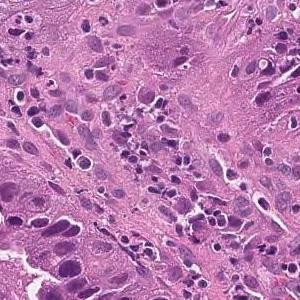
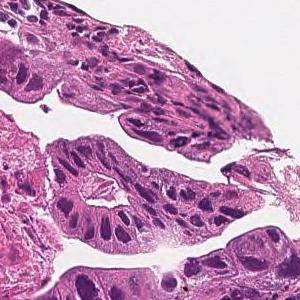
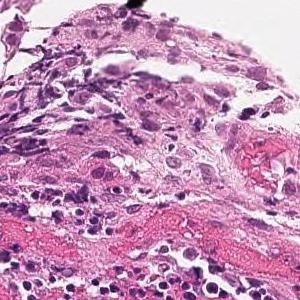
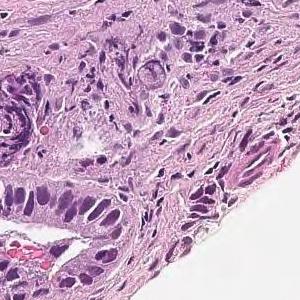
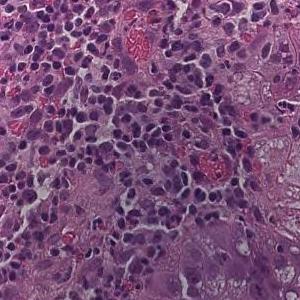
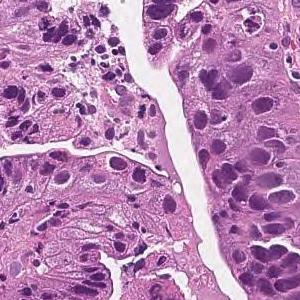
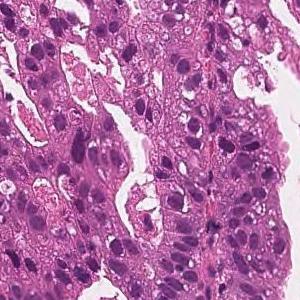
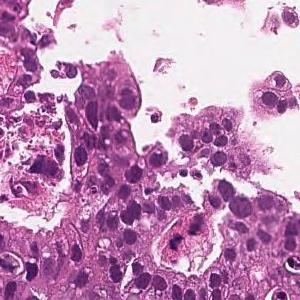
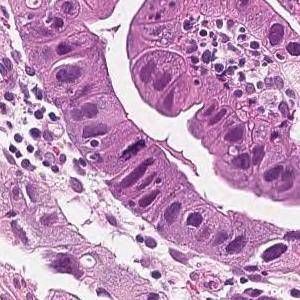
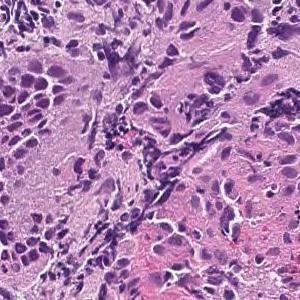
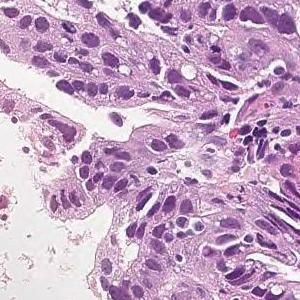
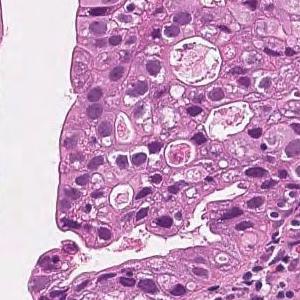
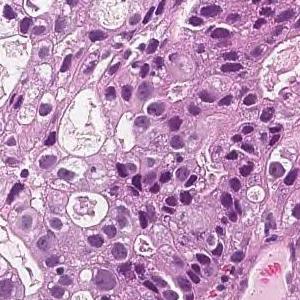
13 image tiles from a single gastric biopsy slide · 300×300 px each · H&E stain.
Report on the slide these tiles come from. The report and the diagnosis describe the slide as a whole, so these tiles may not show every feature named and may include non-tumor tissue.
In the superficial epithelium, tumor tissue that invades by forming medium-sized to small, irregular ducts is observed. moderately differentiated tubular adenocarcinoma.
